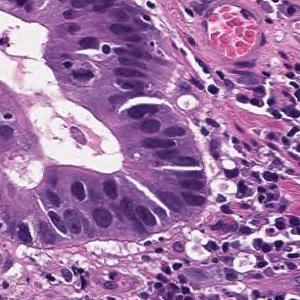
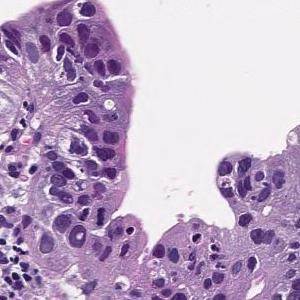
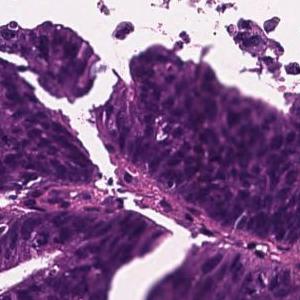
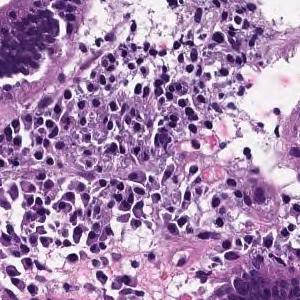
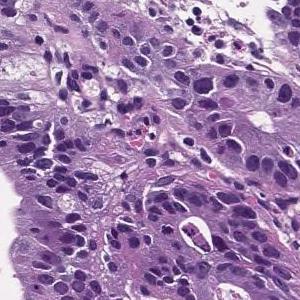
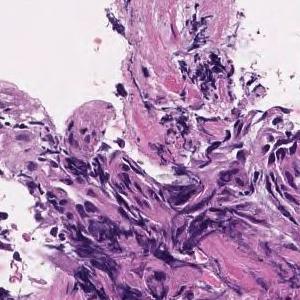
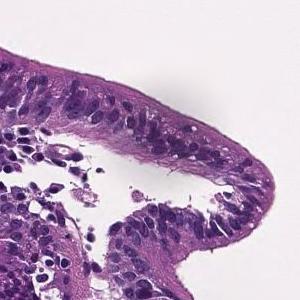
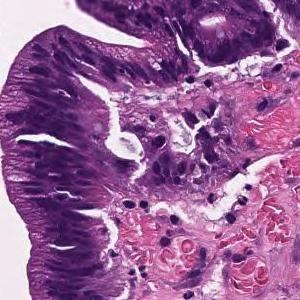
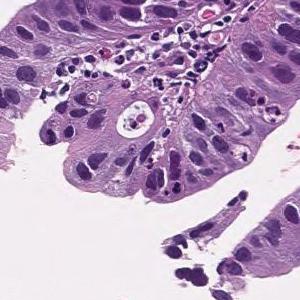
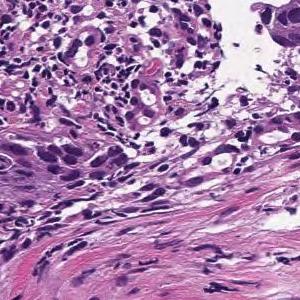
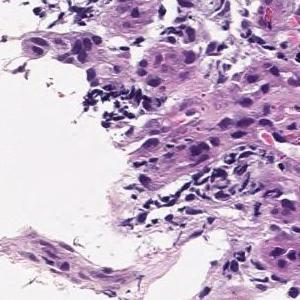
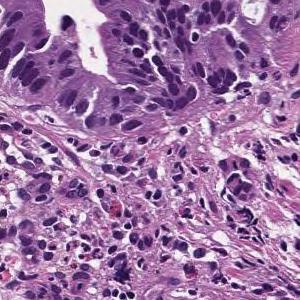
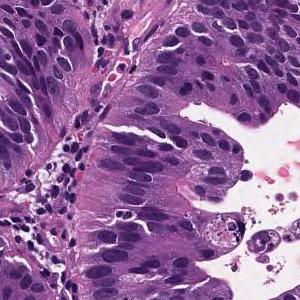
Scanned at ×20 · H&E · 13 patches cut from one gastric biopsy slide.
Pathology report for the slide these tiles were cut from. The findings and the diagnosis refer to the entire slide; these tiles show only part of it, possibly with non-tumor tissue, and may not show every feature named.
Tumor cells are large, highly columnar, large club-shaped nuclei, and are associated with chromatin aggregation. Papillary adenocarcinoma.
